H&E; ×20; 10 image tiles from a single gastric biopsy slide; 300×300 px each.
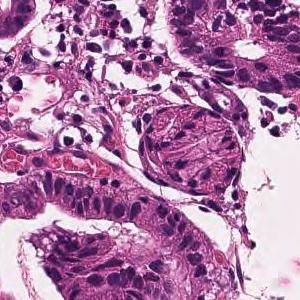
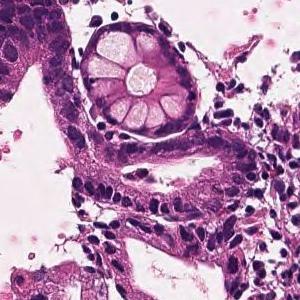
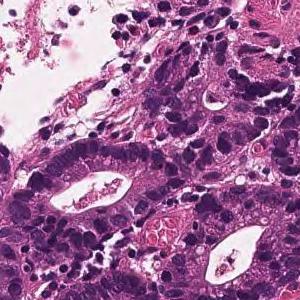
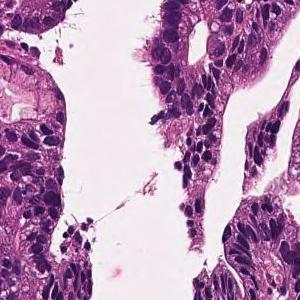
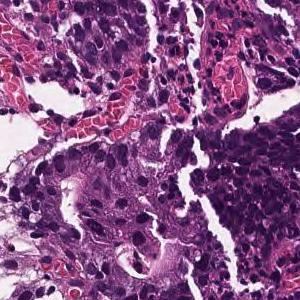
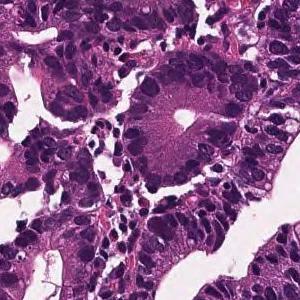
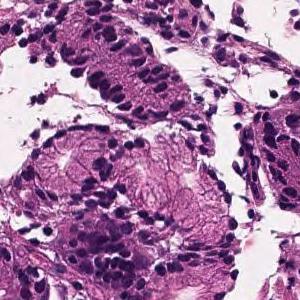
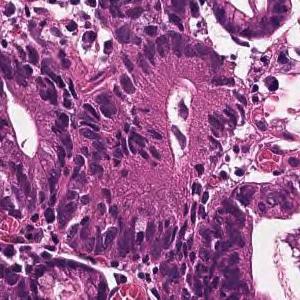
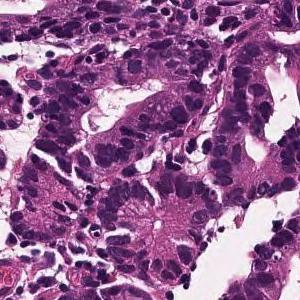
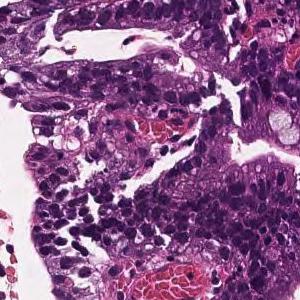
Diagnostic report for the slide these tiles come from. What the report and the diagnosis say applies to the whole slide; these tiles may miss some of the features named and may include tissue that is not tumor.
From the superficial epithelium to the muscularis mucosae, tumor tissue consisting of medium-sized and irregular glandular ducts infiltrating is observed. Well differentiated tubular adenocarcinoma
